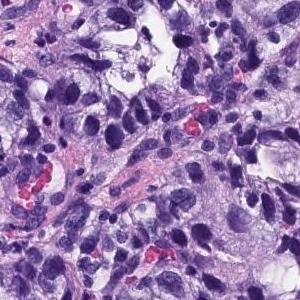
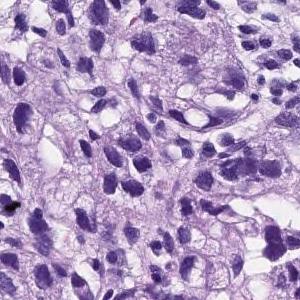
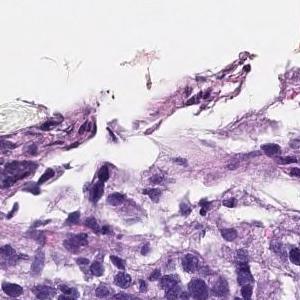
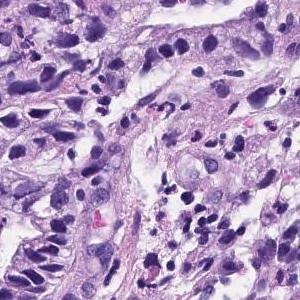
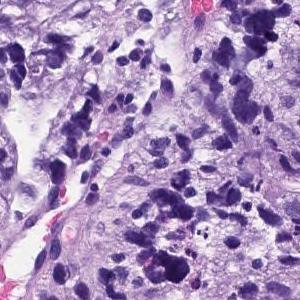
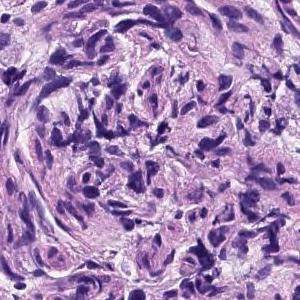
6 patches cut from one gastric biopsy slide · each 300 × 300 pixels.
Diagnostic report for the slide these tiles come from. The report and the diagnosis cover the entire slide, so not every feature they name need be visible here, and some tissue shown may not be tumor.
Medium to small, irregular glandular ducts are formed in the superficial epithelium, and in some cases, the glandular ducts are fused to show solid alveolar lesions and infiltrating tumor tissue is observed. Poorly differentiated adenocarcinoma, Moderately differentiated adenocarcinoma.
Labeled in the dataset as moderately differentiated tubular adenocarcinoma.
